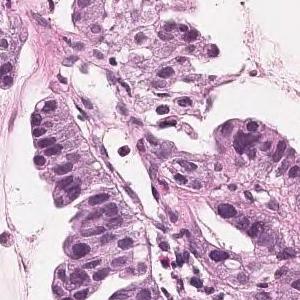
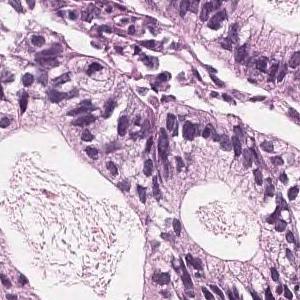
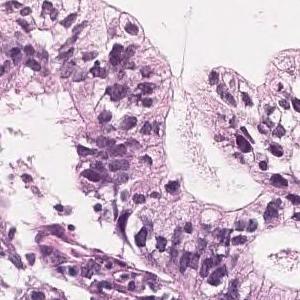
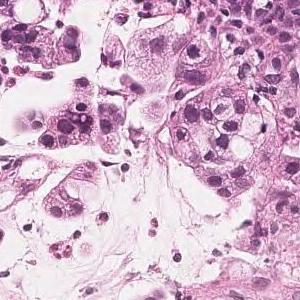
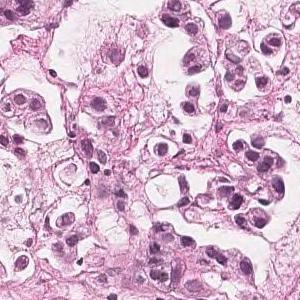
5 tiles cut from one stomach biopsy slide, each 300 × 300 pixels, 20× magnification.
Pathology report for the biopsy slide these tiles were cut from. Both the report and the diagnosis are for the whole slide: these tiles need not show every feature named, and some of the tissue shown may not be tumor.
Tumor cells are large, highly columnar, large club-shaped nuclei, and are associated with chromatin aggregation. Papillary adenocarcinoma.
